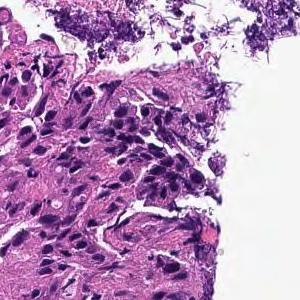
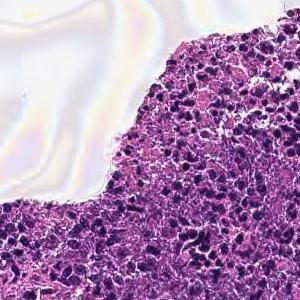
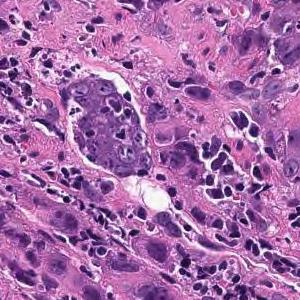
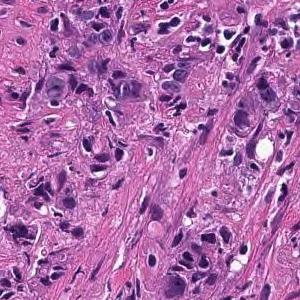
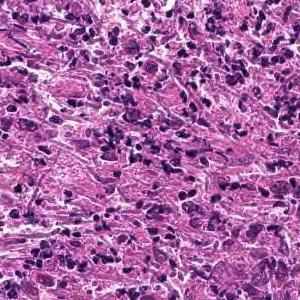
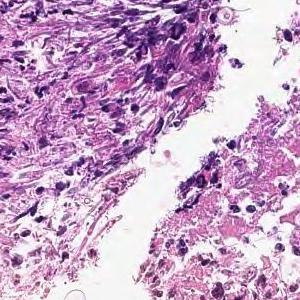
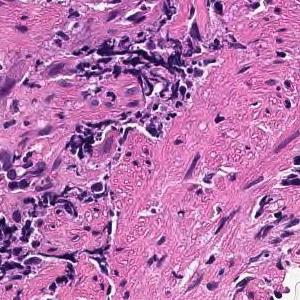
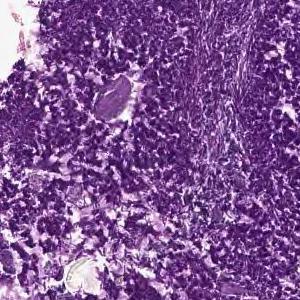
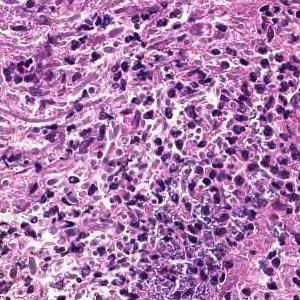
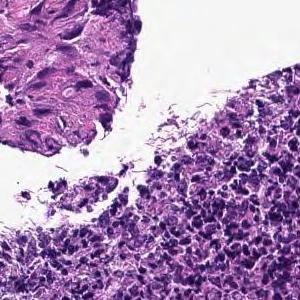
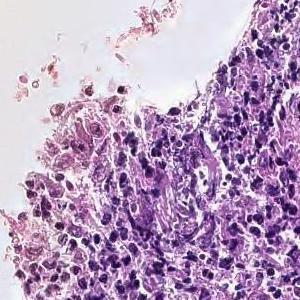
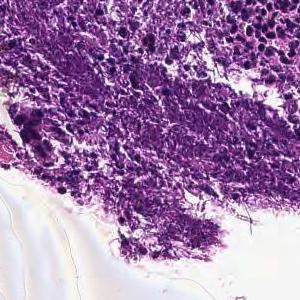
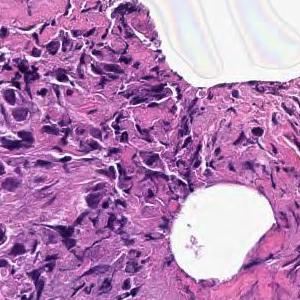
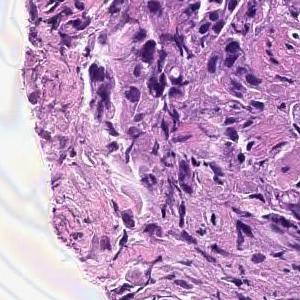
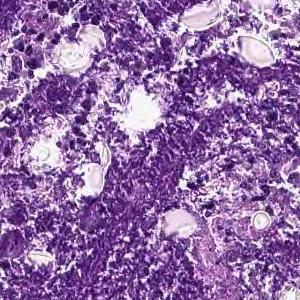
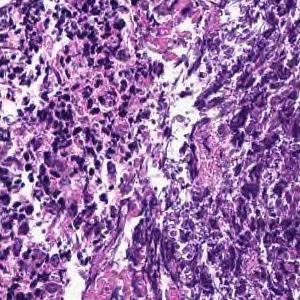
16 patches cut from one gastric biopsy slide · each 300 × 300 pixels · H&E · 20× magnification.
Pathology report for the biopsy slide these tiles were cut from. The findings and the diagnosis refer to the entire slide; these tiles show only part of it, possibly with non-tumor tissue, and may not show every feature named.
Cancers with polygonal nuclei do not show glandular formation and are densely, in part, cord-like and proliferate. Poorly differentiated adenocarcinoma
Tumor subtype: poorly differentiated adenocarcinoma, non-solid type.
The term "non-solid type" comes from the Japanese Classification of Gastric Carcinoma.
